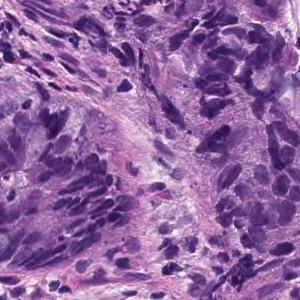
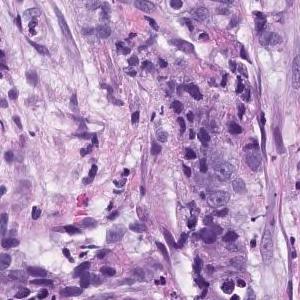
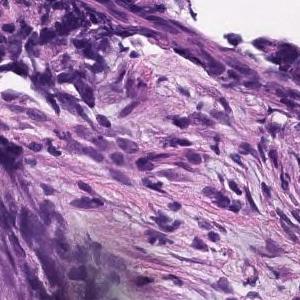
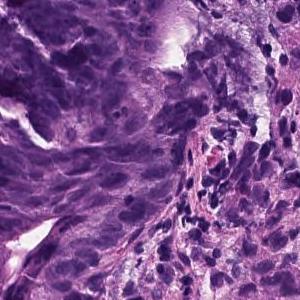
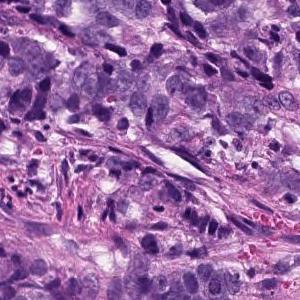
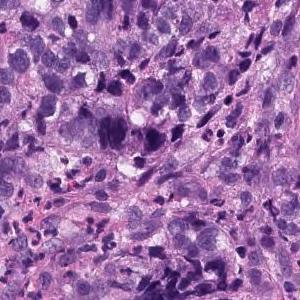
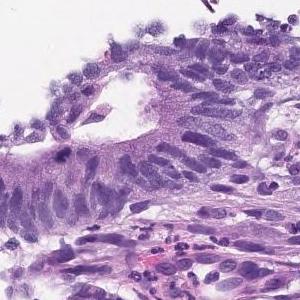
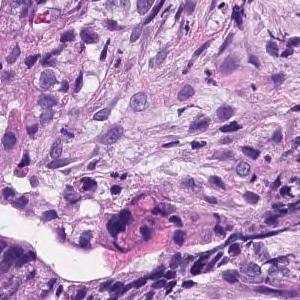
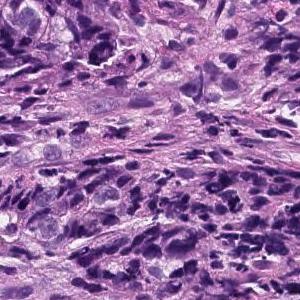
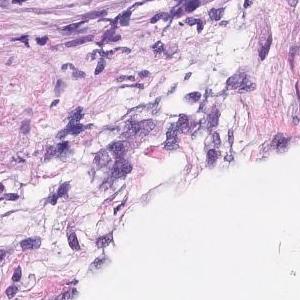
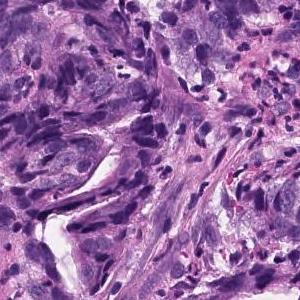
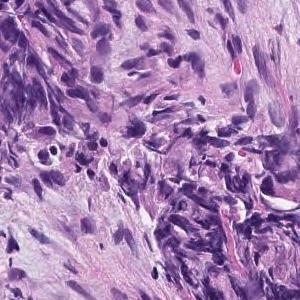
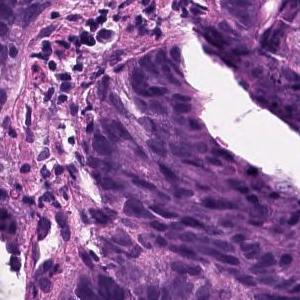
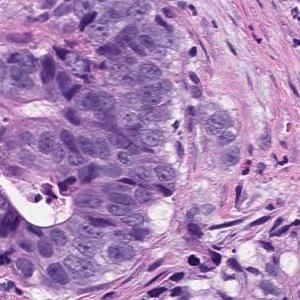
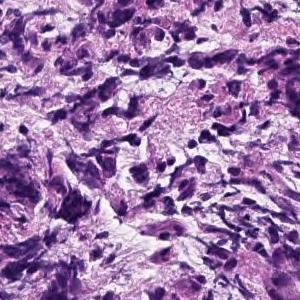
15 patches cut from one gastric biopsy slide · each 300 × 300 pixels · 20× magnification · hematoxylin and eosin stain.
Pathology report for the biopsy slide these tiles were cut from. Both the report and the diagnosis are for the whole slide: these tiles need not show every feature named, and some of the tissue shown may not be tumor.
Medium to small, irregular glandular ducts are formed in the superficial epithelium, and in some cases, the glandular ducts are fused to show solid alveolar lesions and infiltrating tumor tissue is observed. Moderately to poorly differentiated adenocarcinoma.
